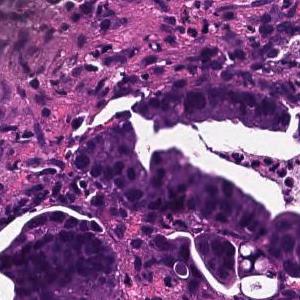
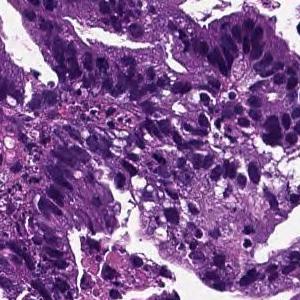
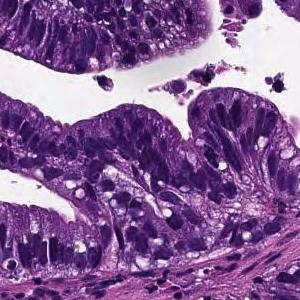
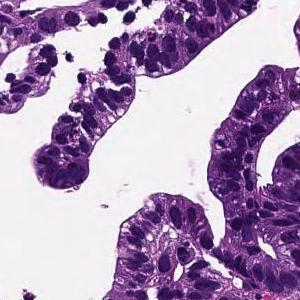
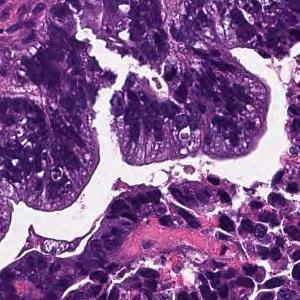
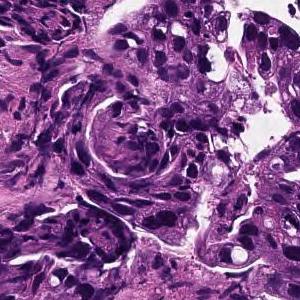
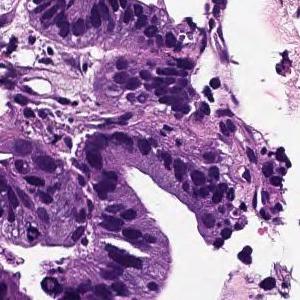
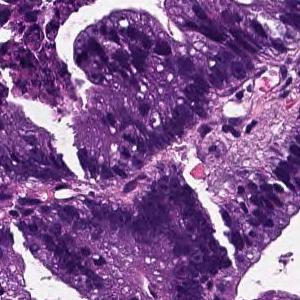
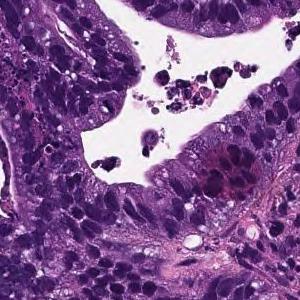
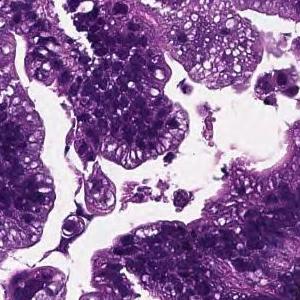
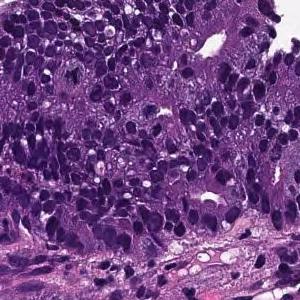
Scanned at ×20 · 11 tiles cut from one stomach biopsy slide · each 300 × 300 pixels.
Pathology report for the biopsy slide these tiles were cut from. The report and the diagnosis describe the slide as a whole, so these tiles may not show every feature named and may include non-tumor tissue.
Tumor cells are large, highly columnar, large club-shaped nuclei, and are associated with chromatin aggregation. Papillary adenocarcinoma.
